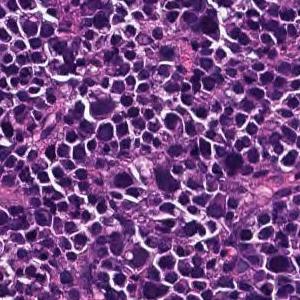
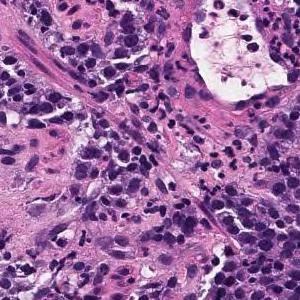
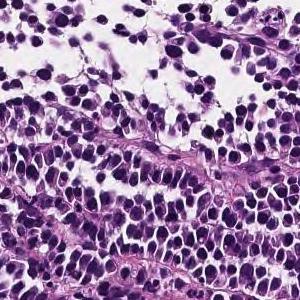
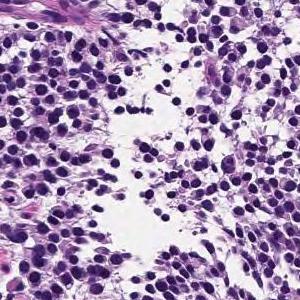
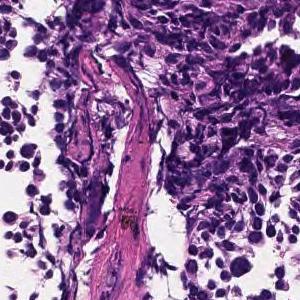
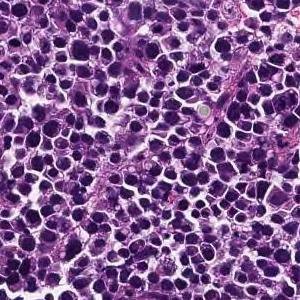
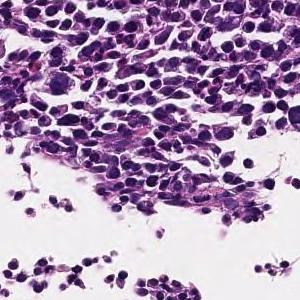
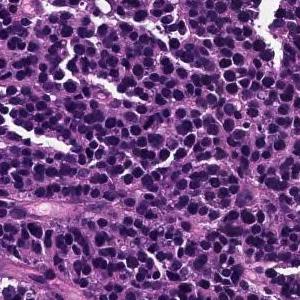
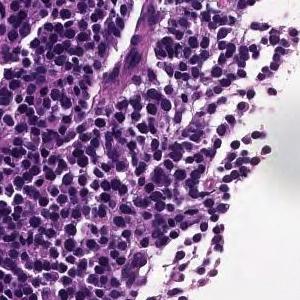
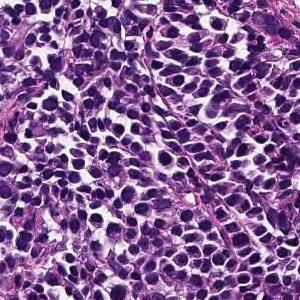
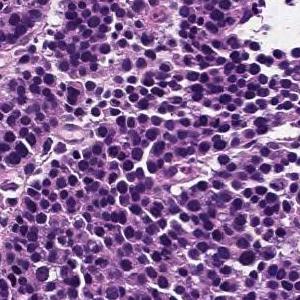
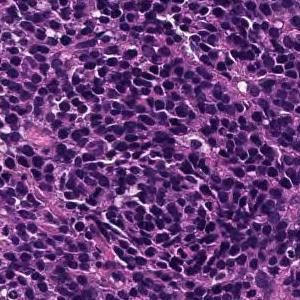
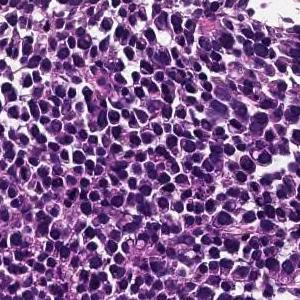
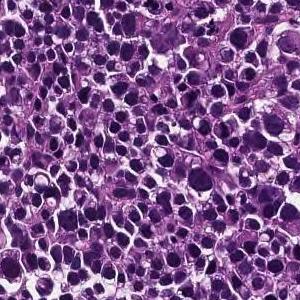
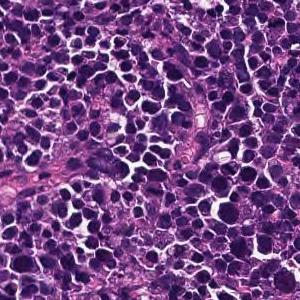
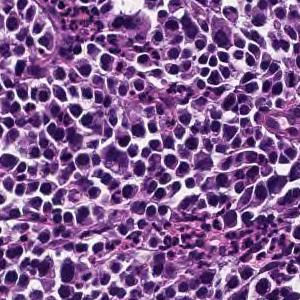
16 image tiles from a single gastric biopsy slide, hematoxylin and eosin stain.
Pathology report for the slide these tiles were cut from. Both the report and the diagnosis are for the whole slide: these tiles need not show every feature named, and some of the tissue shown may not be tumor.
Large sheet-like or diffusely infiltrating tumor tissue is found in the superficial epithelium. Poorly differentiated adenocarcinoma, solid-type
Tumor subtype: poorly differentiated adenocarcinoma, solid type. This name comes from the Japanese Classification of Gastric Carcinoma; the WHO 2019 classification calls it tubular adenocarcinoma, poorly differentiated.
